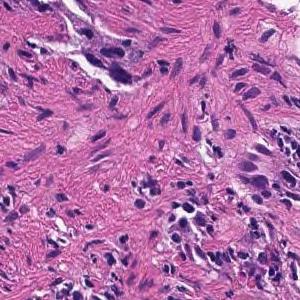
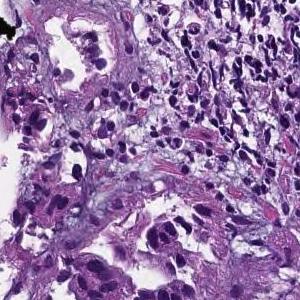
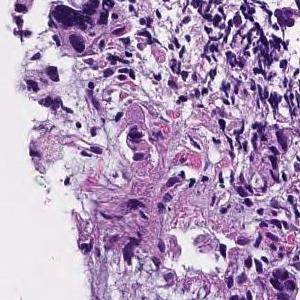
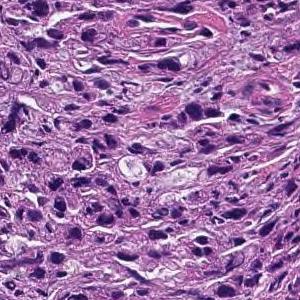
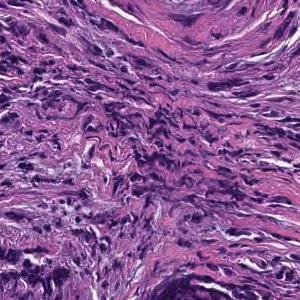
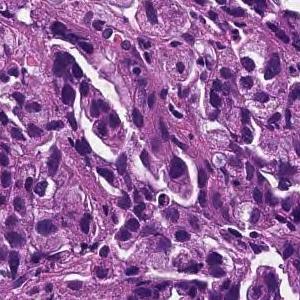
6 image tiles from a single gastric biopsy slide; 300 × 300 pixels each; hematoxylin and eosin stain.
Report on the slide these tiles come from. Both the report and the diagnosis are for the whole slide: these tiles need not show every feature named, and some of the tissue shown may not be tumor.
Tumor tissue consisting of medium-sized, cord-like or irregular glandular infiltration is observed in the superficial epithelium. Poorly differentiated adenocarcinoma, non-solid type or moderately differentiated tubular adenocarcinoma
Histological subtype: Moderately to poorly differentiated adenocarcinoma.
The term "non-solid type" comes from the Japanese Classification of Gastric Carcinoma.
